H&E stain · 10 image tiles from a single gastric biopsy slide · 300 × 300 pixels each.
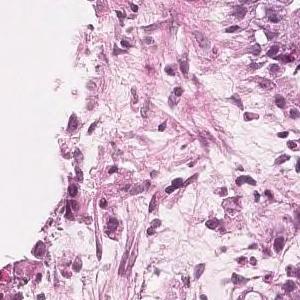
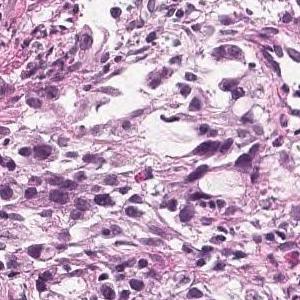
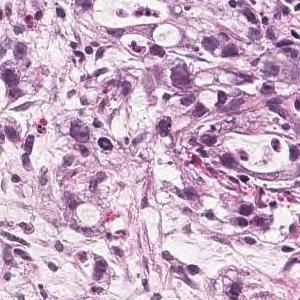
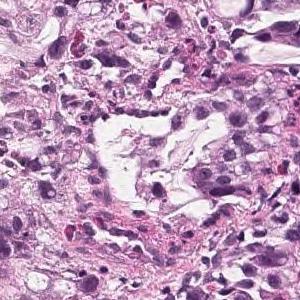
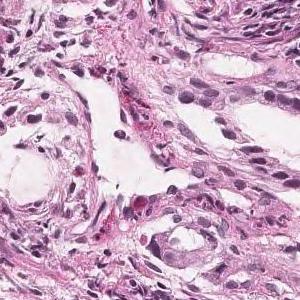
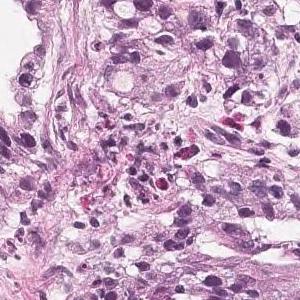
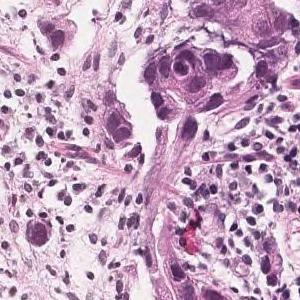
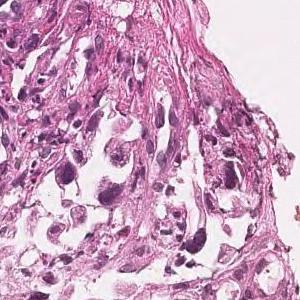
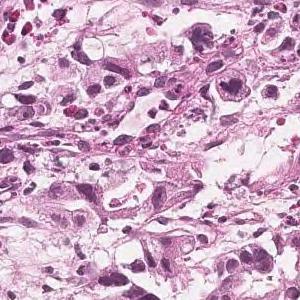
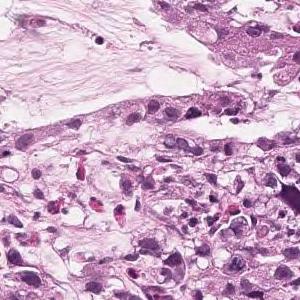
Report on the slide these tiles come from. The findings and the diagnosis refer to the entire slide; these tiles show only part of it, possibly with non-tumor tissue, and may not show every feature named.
Tumor tissue consisting of medium-sized, cord-like or irregular glandular infiltration is observed in the superficial epithelium. Poorly differentiated adenocarcinoma, non-solid type or moderately differentiated tubular adenocarcinoma
The term "non-solid type" comes from the Japanese Classification of Gastric Carcinoma.
